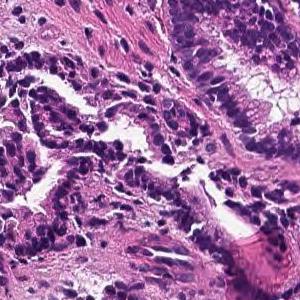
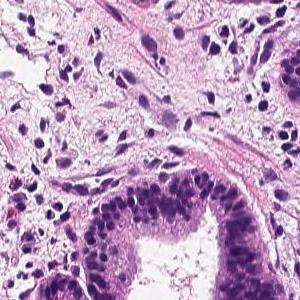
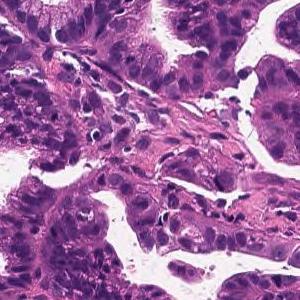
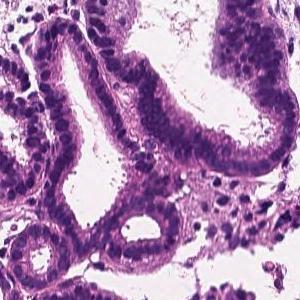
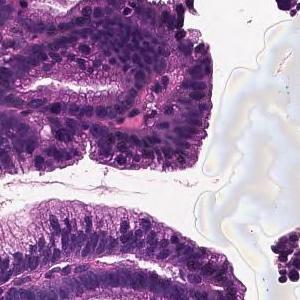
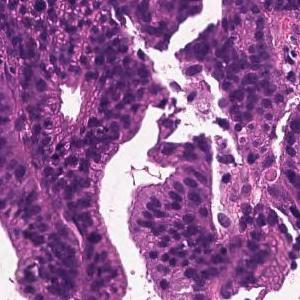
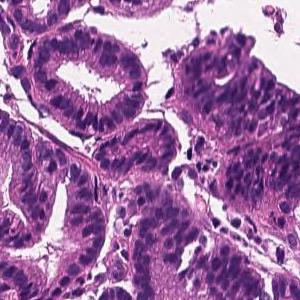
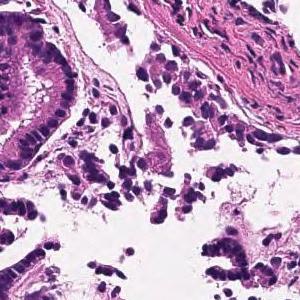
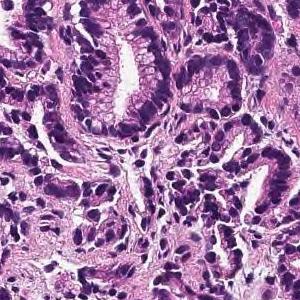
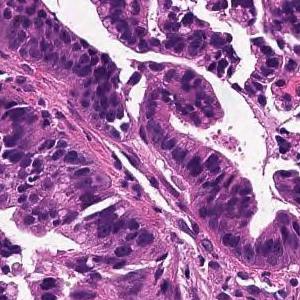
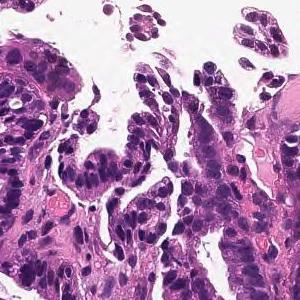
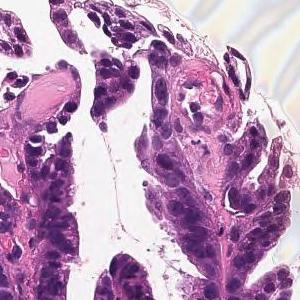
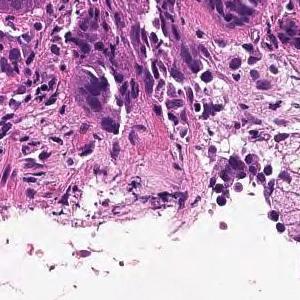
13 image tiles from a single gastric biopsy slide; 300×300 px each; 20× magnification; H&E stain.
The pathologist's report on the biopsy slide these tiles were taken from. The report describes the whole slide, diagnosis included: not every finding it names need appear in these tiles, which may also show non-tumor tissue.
On the superficial epithelium, tumor tissue consisting of large irregular glandular ducts partially fused and infiltrated is observed. Well to moderately differentiated tubular adenocarcinoma (well differentiated tubular adenocarcinoma, moderately differentiated tubular adenocarcinoma)
Histologic type: Well to moderately differentiated tubular adenocarcinoma.
